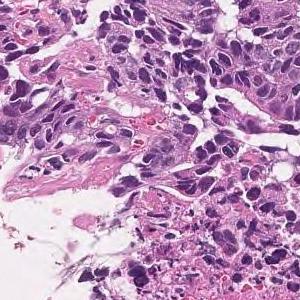
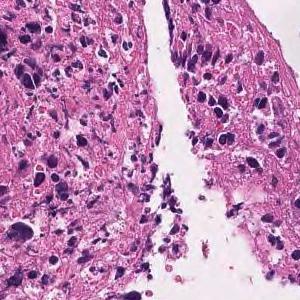
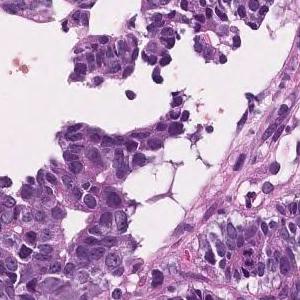
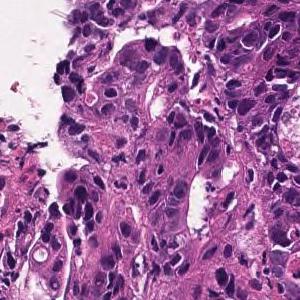
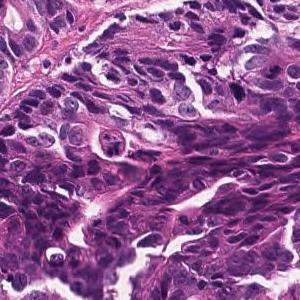
5 tiles from the same stomach biopsy slide, each 300 × 300 pixels, ×20, H&E stain.
Report on the slide these tiles come from. Both the report and the diagnosis are for the whole slide: these tiles need not show every feature named, and some of the tissue shown may not be tumor.
In the superficial epithelium, tumor tissue that invades by forming medium-sized to small, irregular ducts is observed. moderately differentiated tubular adenocarcinoma.
